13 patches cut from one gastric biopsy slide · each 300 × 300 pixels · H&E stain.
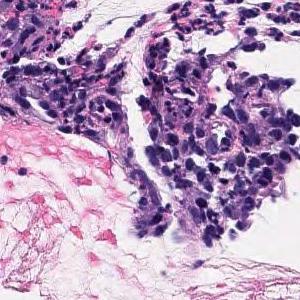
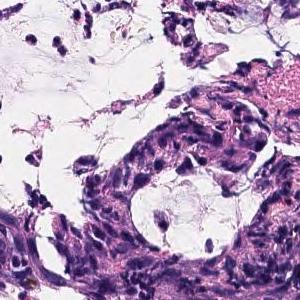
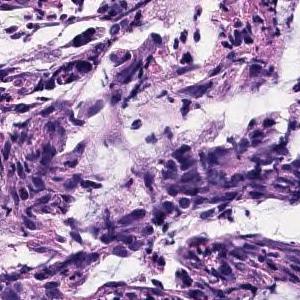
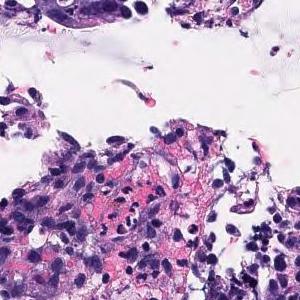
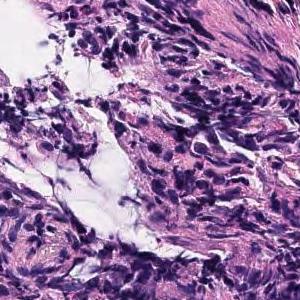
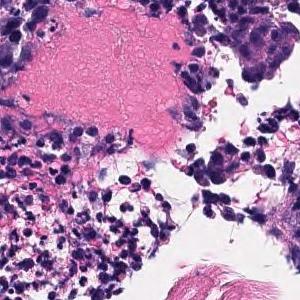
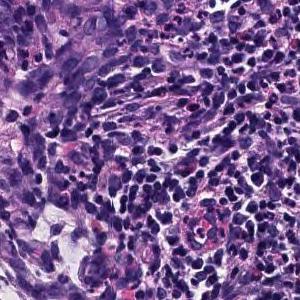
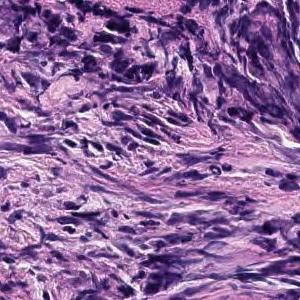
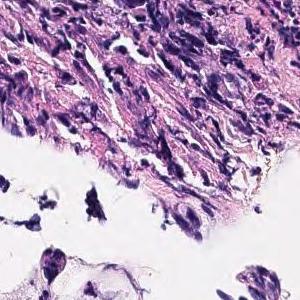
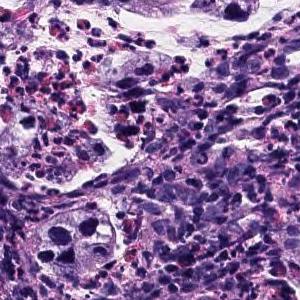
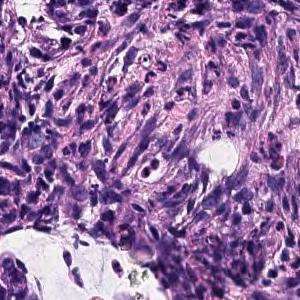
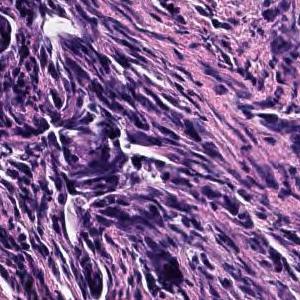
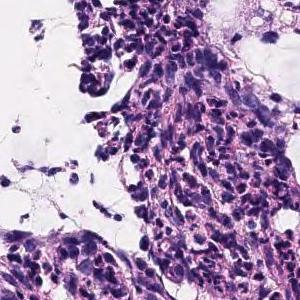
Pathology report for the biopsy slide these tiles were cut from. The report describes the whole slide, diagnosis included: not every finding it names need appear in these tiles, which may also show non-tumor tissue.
The superficial epithelium shows small cord-like infiltrating tumor tissue. Some part of neoplastic cells are signet ring cell type which show single invasion manner. Poorly differentiated adenocarcinoma, non-solid type.
"Non-solid type" is a category of the Japanese Classification of Gastric Carcinoma.
